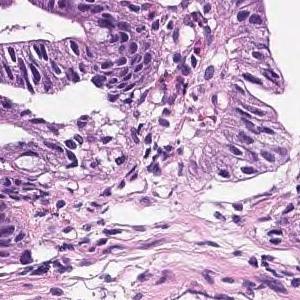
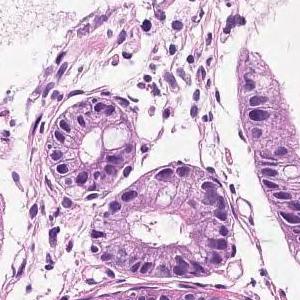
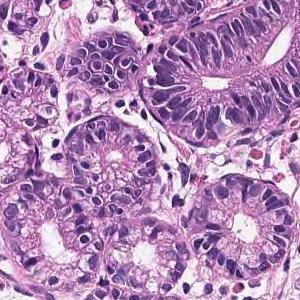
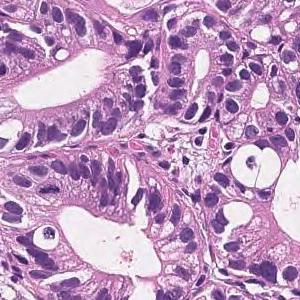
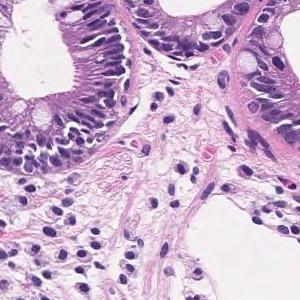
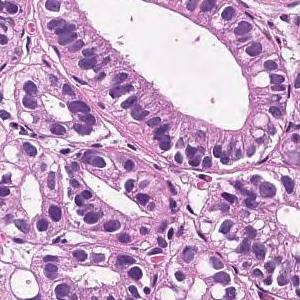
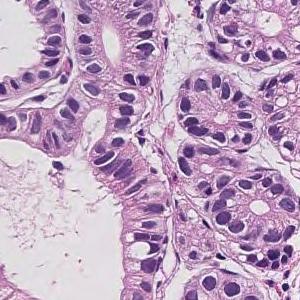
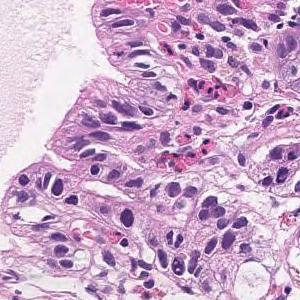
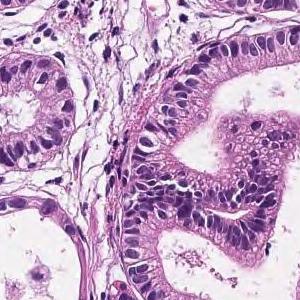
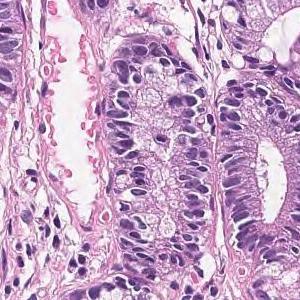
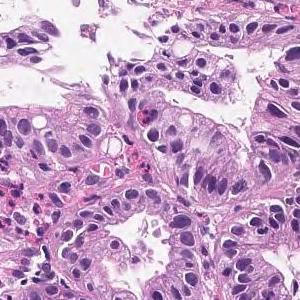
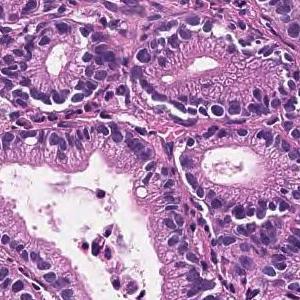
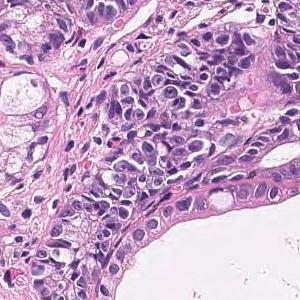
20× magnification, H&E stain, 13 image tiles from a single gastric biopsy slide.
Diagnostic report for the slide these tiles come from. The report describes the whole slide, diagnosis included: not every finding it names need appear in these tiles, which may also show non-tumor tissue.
In the superficial epithelium, tumor tissue that invades by forming medium-sized to small, irregular ducts is observed. Well differentiated tubular adenocarcinoma.
